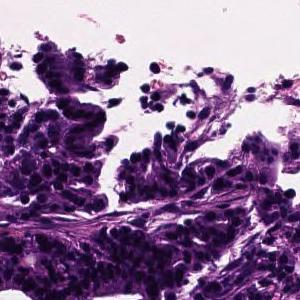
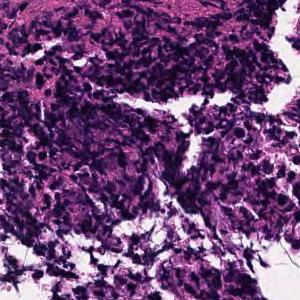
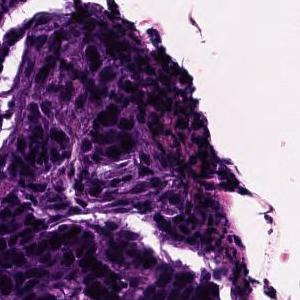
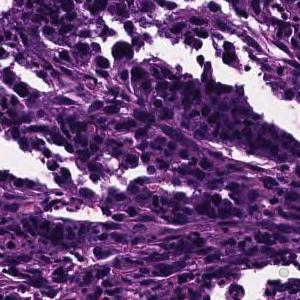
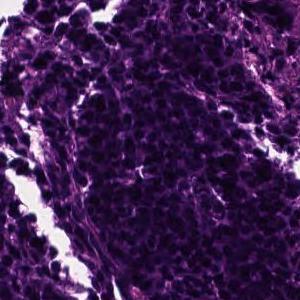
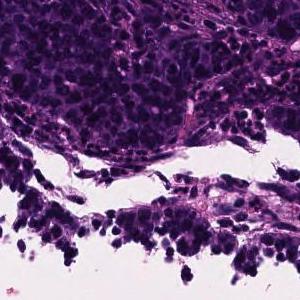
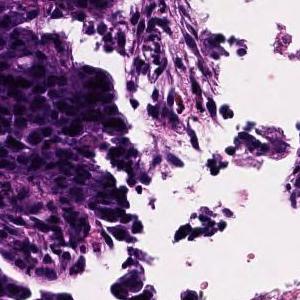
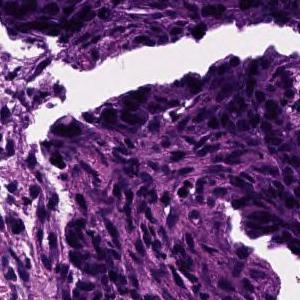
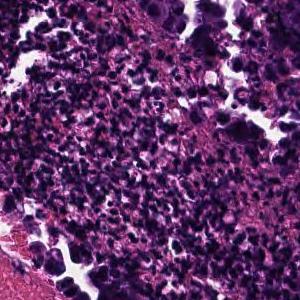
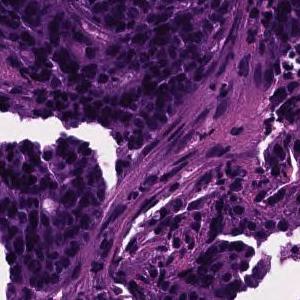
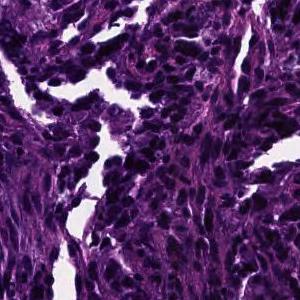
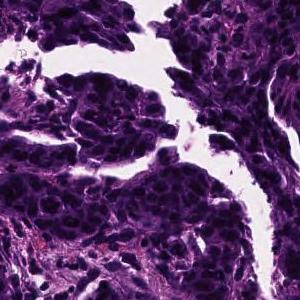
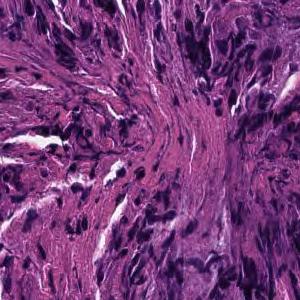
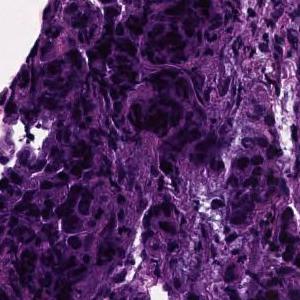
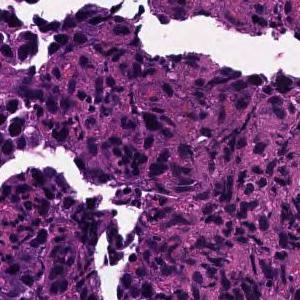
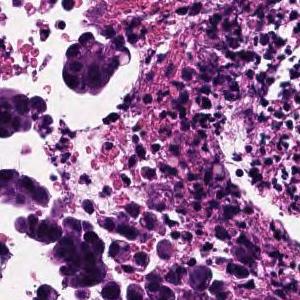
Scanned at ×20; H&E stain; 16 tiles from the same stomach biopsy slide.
Pathology report for the slide these tiles were cut from. The findings and the diagnosis refer to the entire slide; these tiles show only part of it, possibly with non-tumor tissue, and may not show every feature named.
In the superficial epithelium, tumor tissue that invades by forming medium-sized to small, irregular ducts is observed. moderately differentiated tubular adenocarcinoma.
